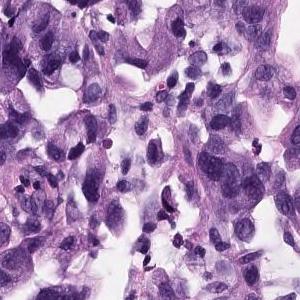
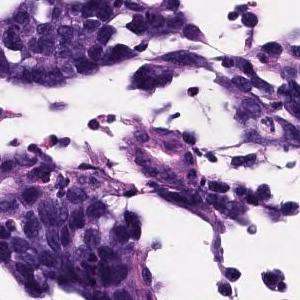
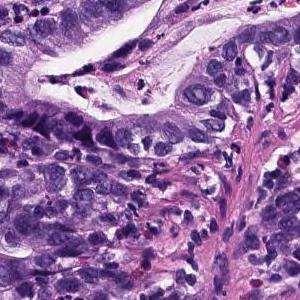
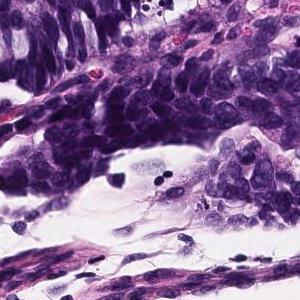
×20, H&E stain, 4 tiles from the same stomach biopsy slide.
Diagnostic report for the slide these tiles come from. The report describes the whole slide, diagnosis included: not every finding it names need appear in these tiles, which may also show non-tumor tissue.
Atypical epithelium proliferating showing villus construction and irregular gland duct construction is observed. Moderately differentiated tubular adenocarcinoma.
